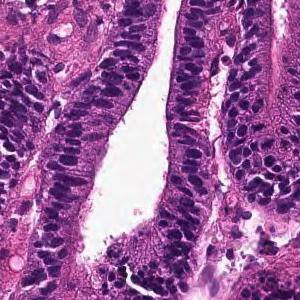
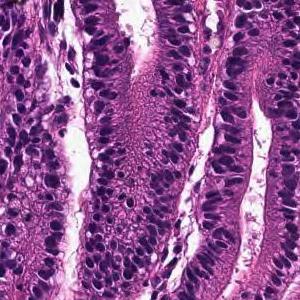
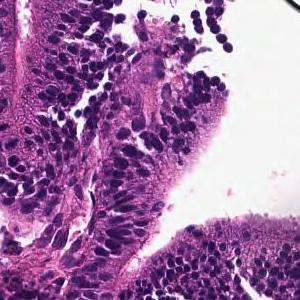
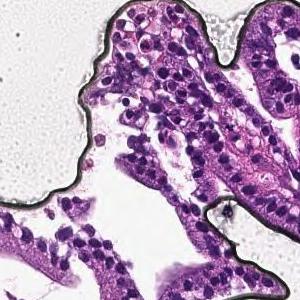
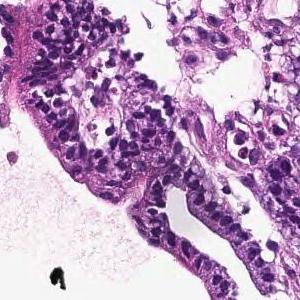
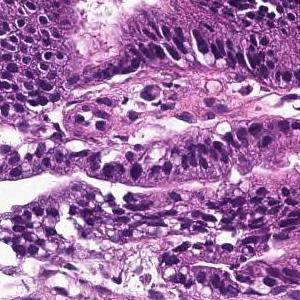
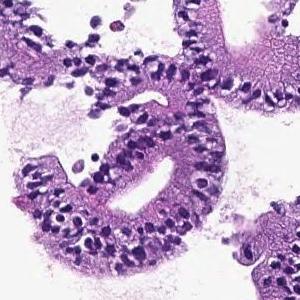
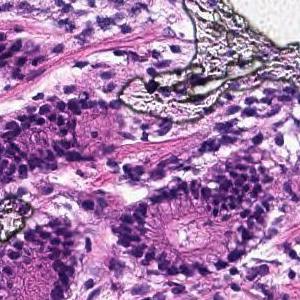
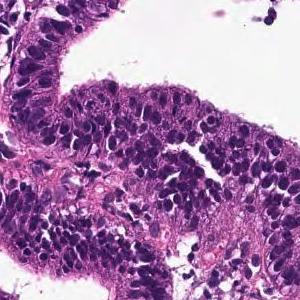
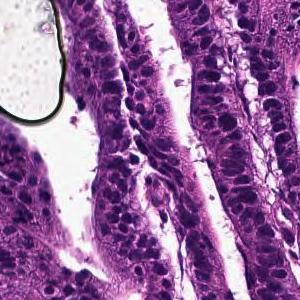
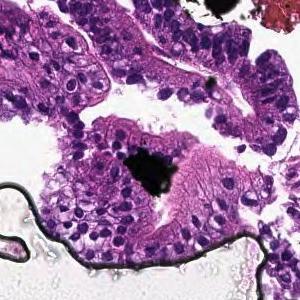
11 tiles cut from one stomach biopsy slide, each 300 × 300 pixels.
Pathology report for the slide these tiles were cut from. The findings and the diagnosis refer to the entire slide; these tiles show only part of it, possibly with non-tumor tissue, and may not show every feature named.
On the superficial epithelium, tumor tissue that infiltrates by forming medium-sized round or small irregular ducts is observed. Papillary adenocarcinoma
